H&E; 20× magnification; 14 tiles from the same stomach biopsy slide; 300×300 px each.
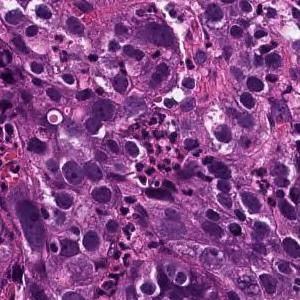
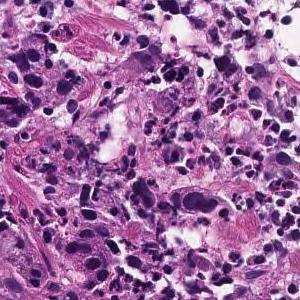
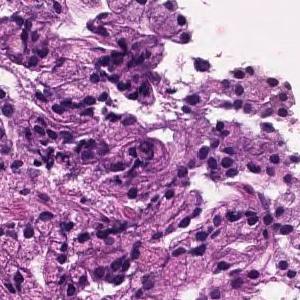
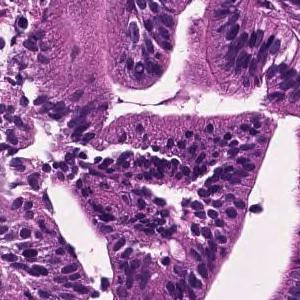
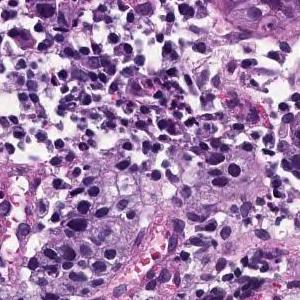
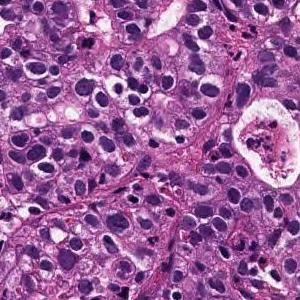
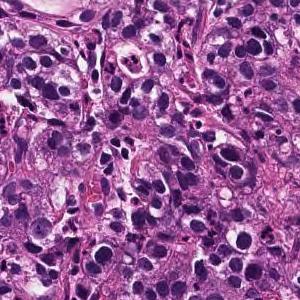
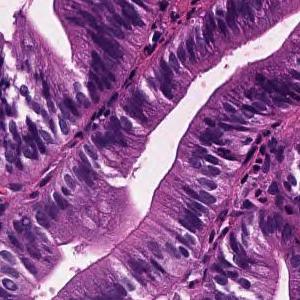
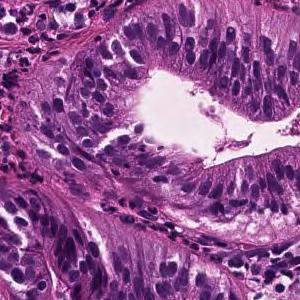
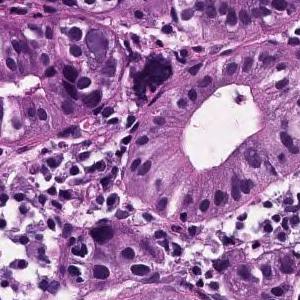
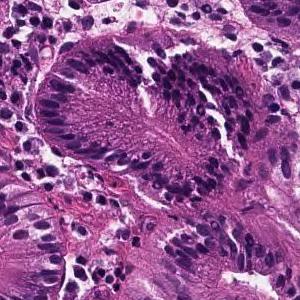
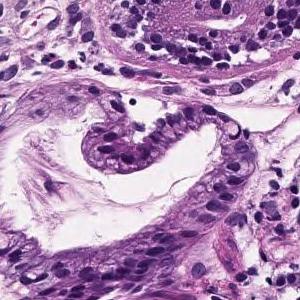
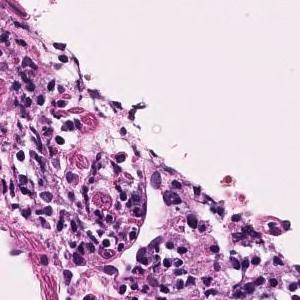
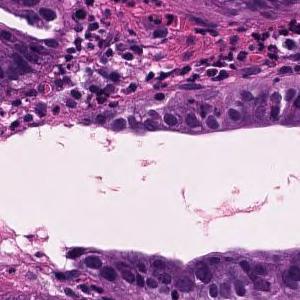
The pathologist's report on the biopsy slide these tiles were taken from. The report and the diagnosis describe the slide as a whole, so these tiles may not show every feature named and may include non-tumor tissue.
In the superficial epithelium, tumor tissue that invades by forming medium-sized to small, irregular ducts is observed. moderately differentiated tubular adenocarcinoma.
